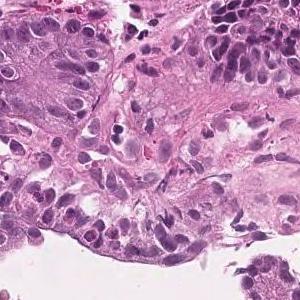
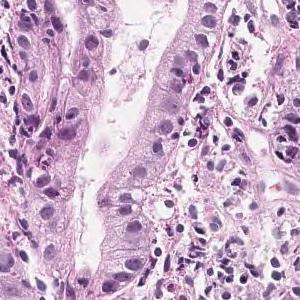
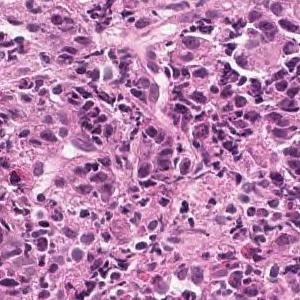
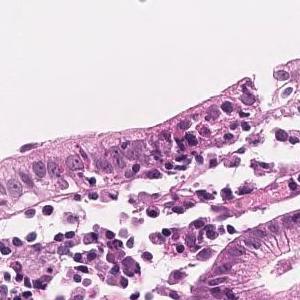
×20 · H&E · 4 tiles cut from one stomach biopsy slide · 300×300 px each.
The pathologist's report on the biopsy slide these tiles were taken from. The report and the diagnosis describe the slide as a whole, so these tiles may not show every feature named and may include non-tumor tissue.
On the superficial epithelium, tumor tissue consisting of large, irregular glandular ducts partially fused and infiltrated is observed. Well to moderately differentiated tubular adenocarcinoma (well differentiated tubular adenocarcinoma, moderately differentiated tubular adenocarcinoma)
Classified as well to moderately differentiated tubular adenocarcinoma.
